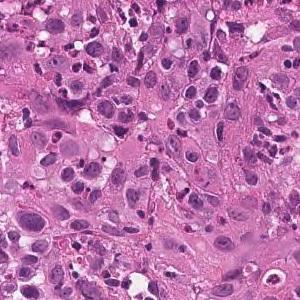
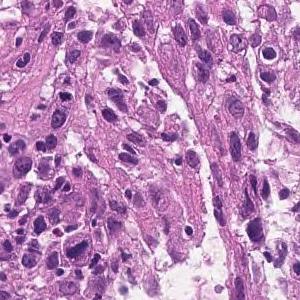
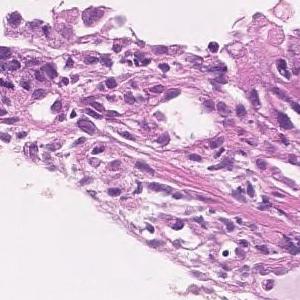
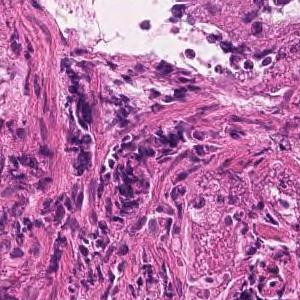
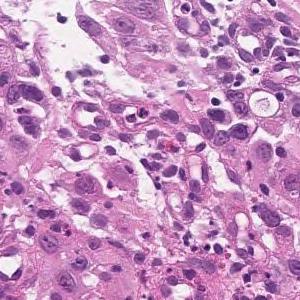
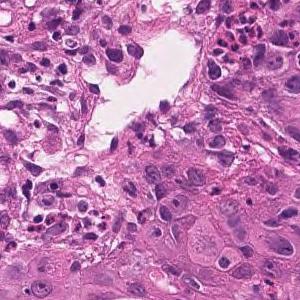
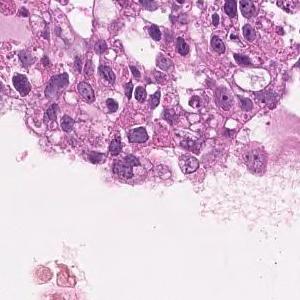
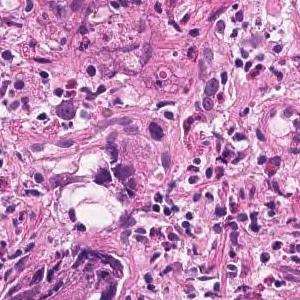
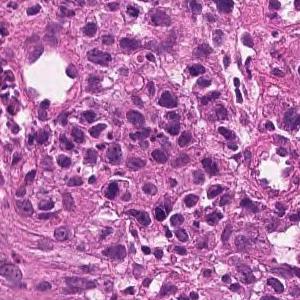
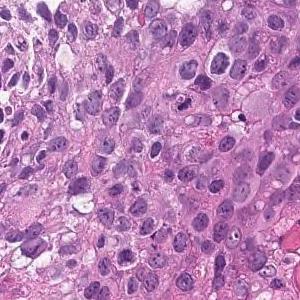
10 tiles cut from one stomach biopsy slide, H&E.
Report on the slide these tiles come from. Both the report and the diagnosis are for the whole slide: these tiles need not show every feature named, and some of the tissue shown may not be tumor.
The superficial epithelium shows a large sheet-like shape, and some tumor tissue infiltrates with small irregular ducts. Poorly differentiated adenocarcinoma, solid-type
Subtype: Poorly differentiated adenocarcinoma, solid type, a category of the Japanese Classification of Gastric Carcinoma; in the WHO 2019 classification it is tubular adenocarcinoma, poorly differentiated.
